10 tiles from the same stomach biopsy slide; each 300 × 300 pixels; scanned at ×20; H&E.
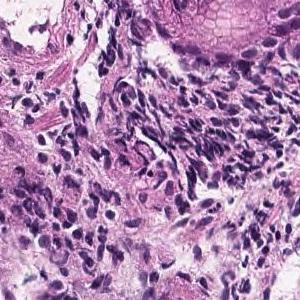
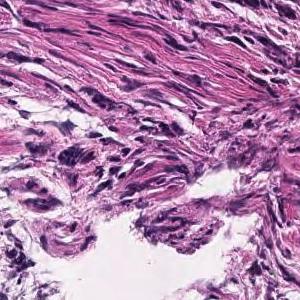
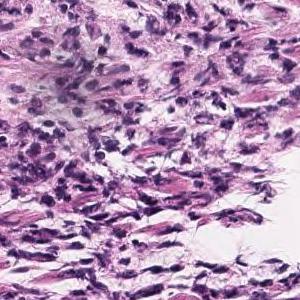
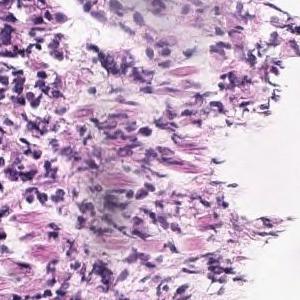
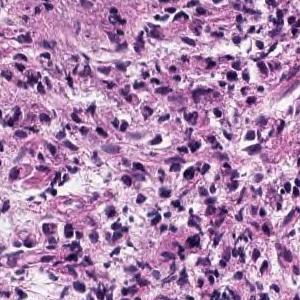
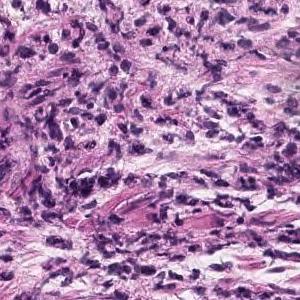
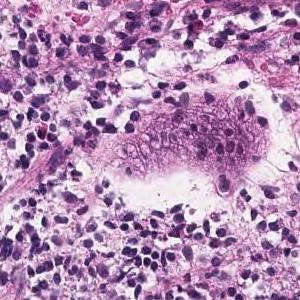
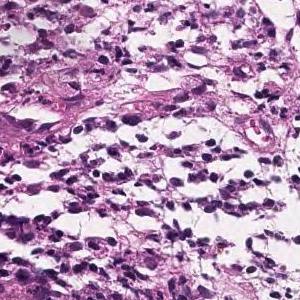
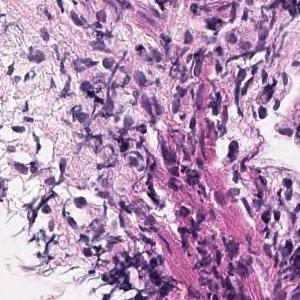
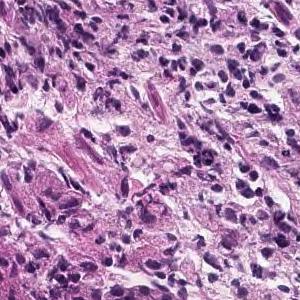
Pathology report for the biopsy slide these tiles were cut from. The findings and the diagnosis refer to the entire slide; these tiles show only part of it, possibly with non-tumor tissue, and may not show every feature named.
In the lamina propria, a tumor tissue consisting of signet ring cell type atypical epithelial cells infiltrating is observed. Signet ring cell carcinoma.
